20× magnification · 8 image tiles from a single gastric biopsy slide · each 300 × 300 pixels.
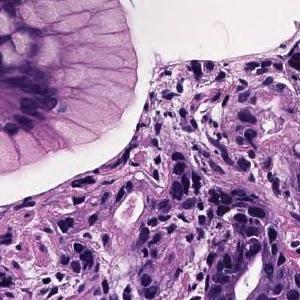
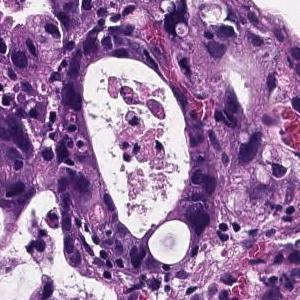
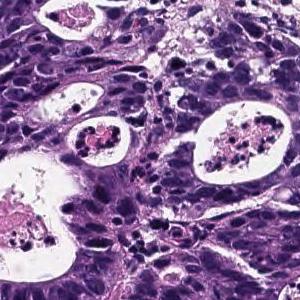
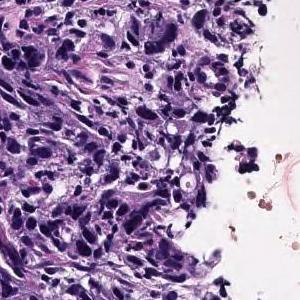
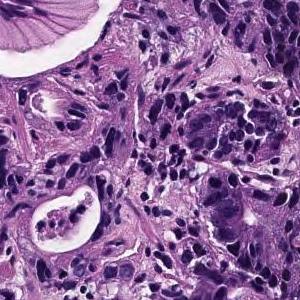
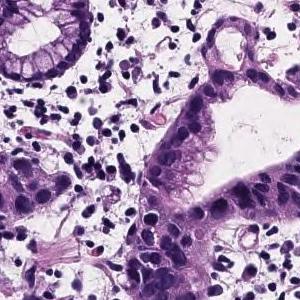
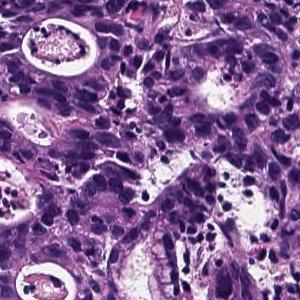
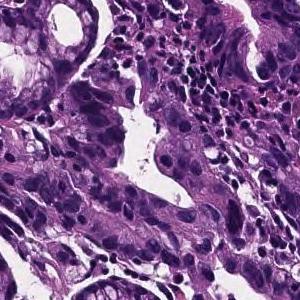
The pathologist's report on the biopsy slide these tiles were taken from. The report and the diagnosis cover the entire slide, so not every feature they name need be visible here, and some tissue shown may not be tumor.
In the superficial epithelium, tumor tissue that invades by forming medium-sized to small, irregular ducts is observed. moderately differentiated tubular adenocarcinoma.
